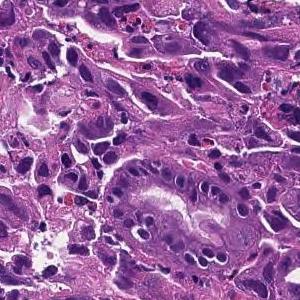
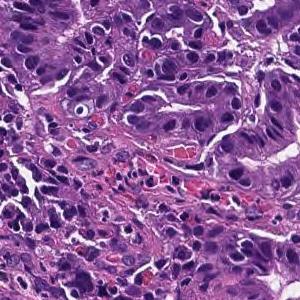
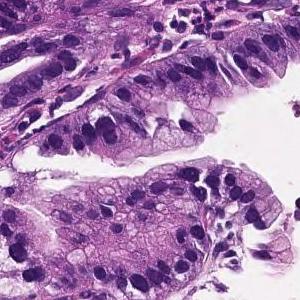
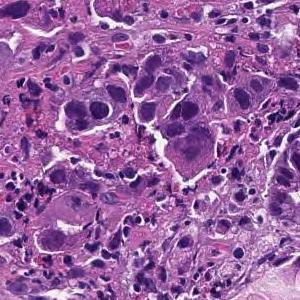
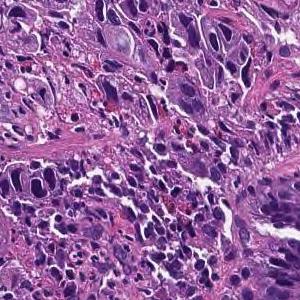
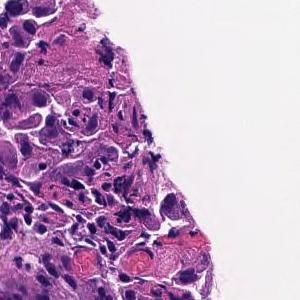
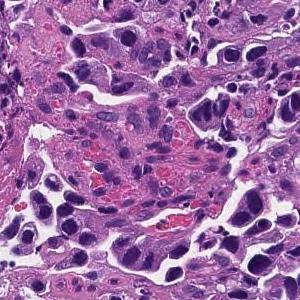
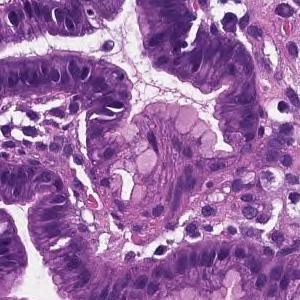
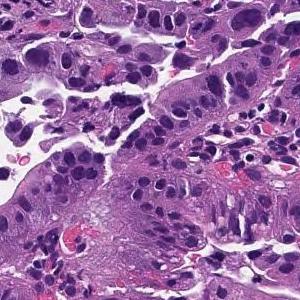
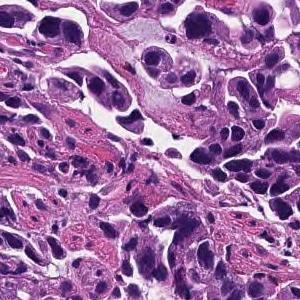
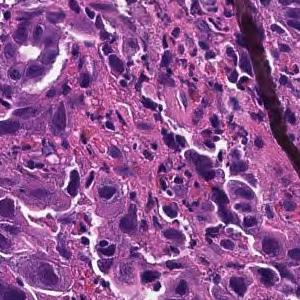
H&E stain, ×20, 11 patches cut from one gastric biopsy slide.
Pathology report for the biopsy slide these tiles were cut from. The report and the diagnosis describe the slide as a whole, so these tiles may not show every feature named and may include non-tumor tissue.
Tumor tissue consisting of medium-sized, cord-like or irregular glandular infiltration is observed in the superficial epithelium. Poorly differentiated adenocarcinoma, non-solid type or moderately differentiated tubular adenocarcinoma
Histologic type: Moderately to poorly differentiated adenocarcinoma.
The non-solid type named here is a Japanese Classification of Gastric Carcinoma category.
